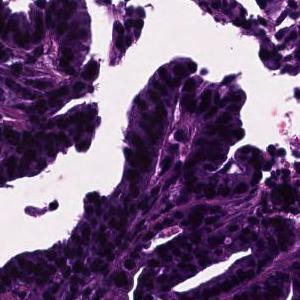
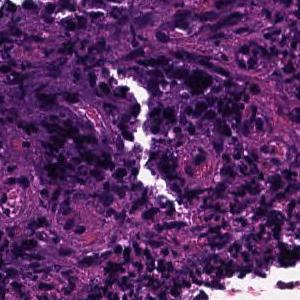
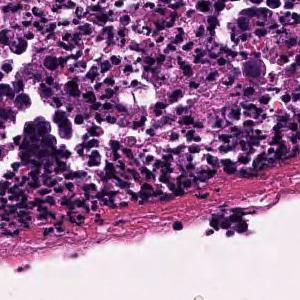
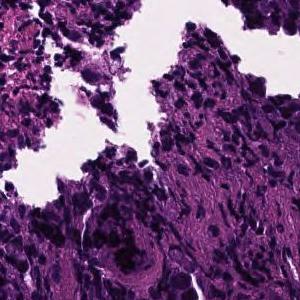
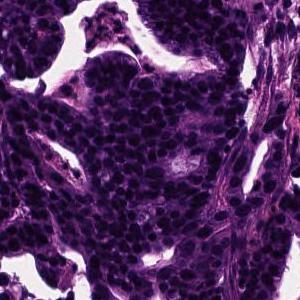
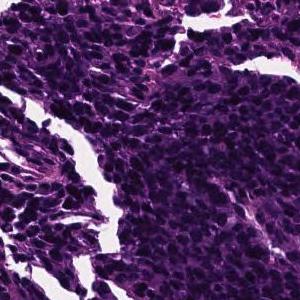
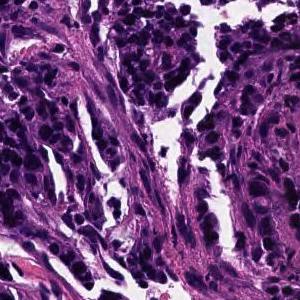
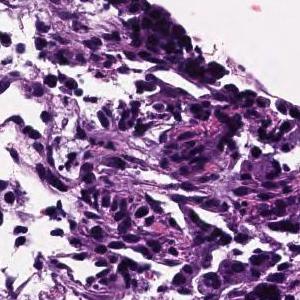
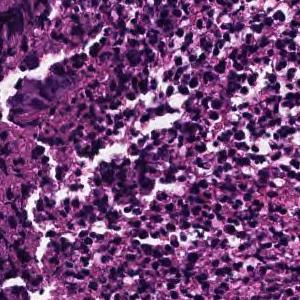
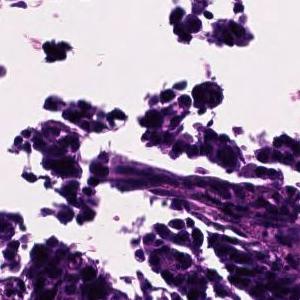
H&E stain; scanned at ×20; 10 patches cut from one gastric biopsy slide.
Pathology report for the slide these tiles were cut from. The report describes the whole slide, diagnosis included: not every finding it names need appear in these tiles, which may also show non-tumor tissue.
In the superficial epithelium, tumor tissue that invades by forming medium-sized to small, irregular ducts is observed. moderately differentiated tubular adenocarcinoma.
